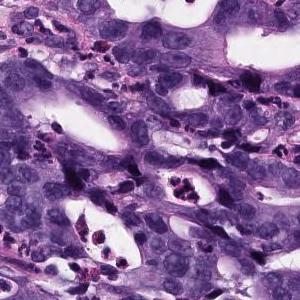
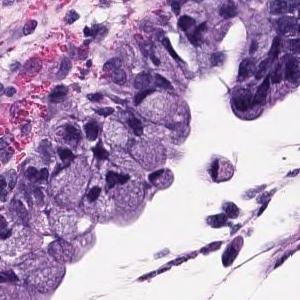
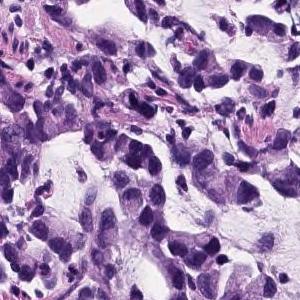
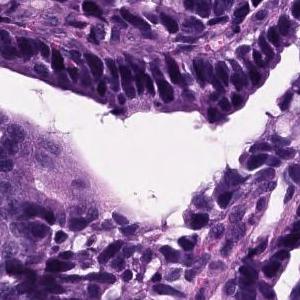
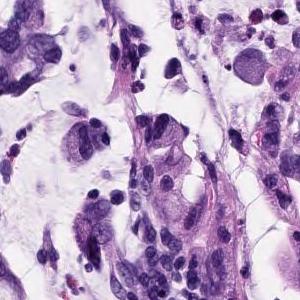
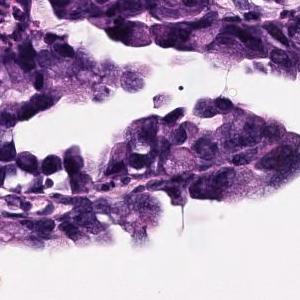
H&E; 6 image tiles from a single gastric biopsy slide.
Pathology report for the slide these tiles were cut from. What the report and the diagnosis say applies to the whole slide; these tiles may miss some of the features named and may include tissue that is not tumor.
Atypical epithelium proliferating showing villus construction and irregular gland duct construction is observed. Moderately differentiated tubular adenocarcinoma.
